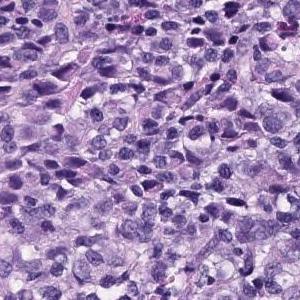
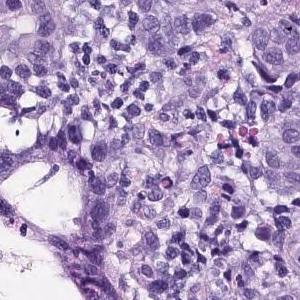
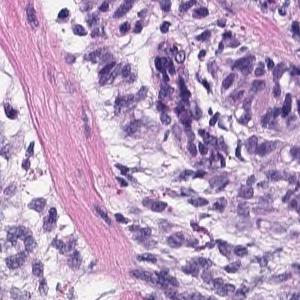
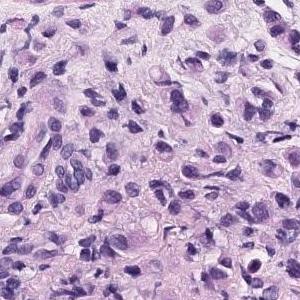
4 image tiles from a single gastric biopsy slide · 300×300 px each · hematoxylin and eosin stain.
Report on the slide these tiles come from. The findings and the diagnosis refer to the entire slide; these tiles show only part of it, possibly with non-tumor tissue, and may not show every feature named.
There are medium-sized atypical cells with marked nuclear swelling and increased N/C ratio, which grow into solid or isolated scattered cells. Poorly differentiated adenocarcinoma
Histological subtype: Poorly differentiated adenocarcinoma, solid type (Japanese Classification of Gastric Carcinoma). The WHO 2019 equivalent is tubular adenocarcinoma, poorly differentiated.
